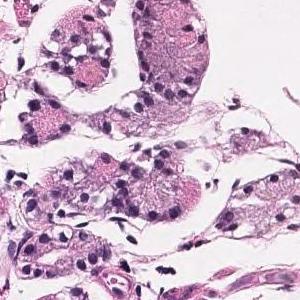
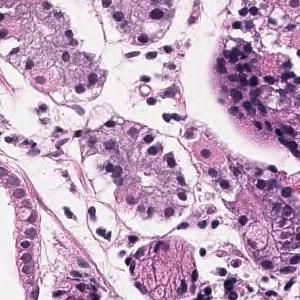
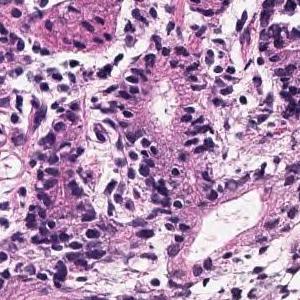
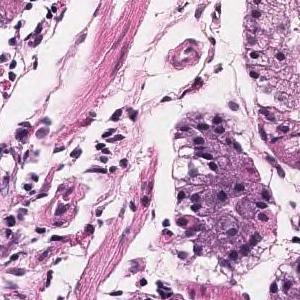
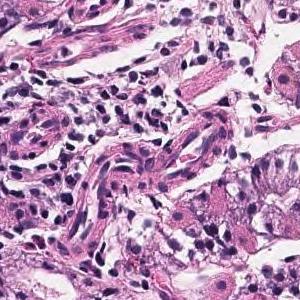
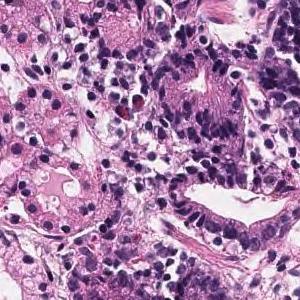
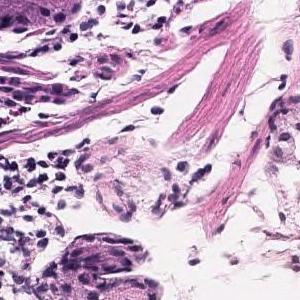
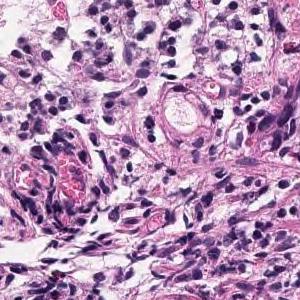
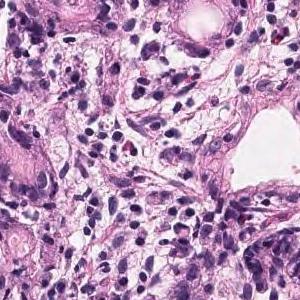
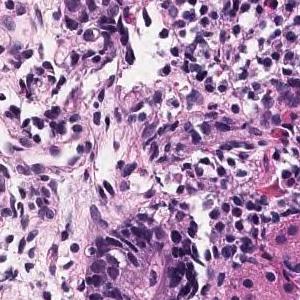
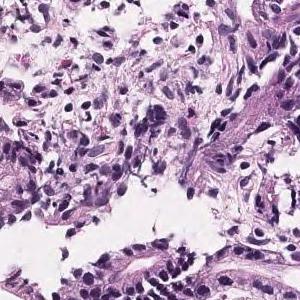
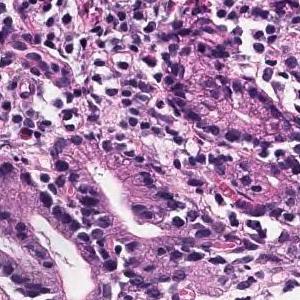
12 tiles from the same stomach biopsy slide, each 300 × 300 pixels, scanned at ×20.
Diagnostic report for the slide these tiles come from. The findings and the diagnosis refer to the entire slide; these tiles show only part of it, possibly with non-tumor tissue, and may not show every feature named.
Tumor tissue that grows and grows is observed, showing a medium-sized round or irregular duct. moderately differentiated tubular adenocarcinoma
